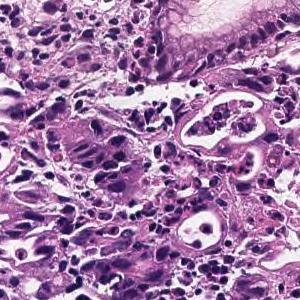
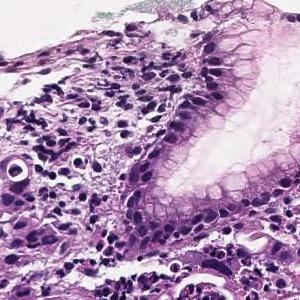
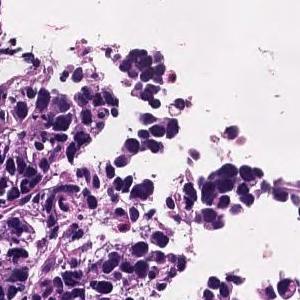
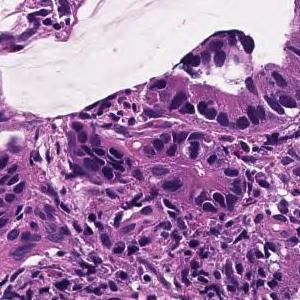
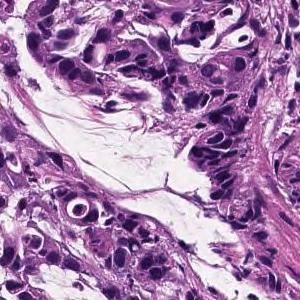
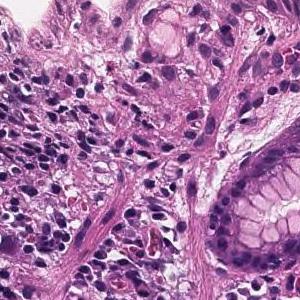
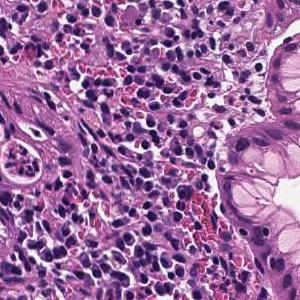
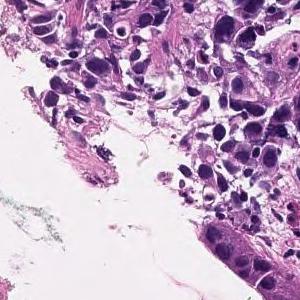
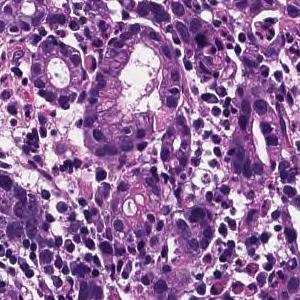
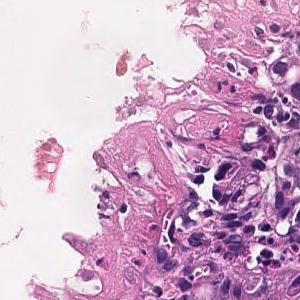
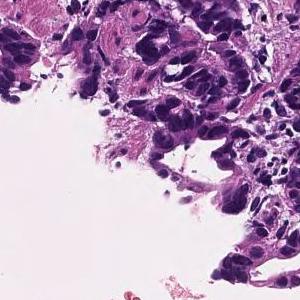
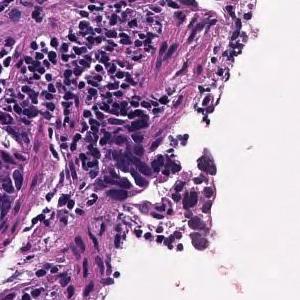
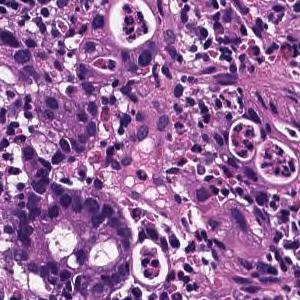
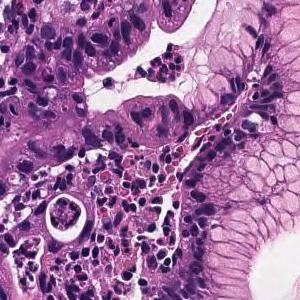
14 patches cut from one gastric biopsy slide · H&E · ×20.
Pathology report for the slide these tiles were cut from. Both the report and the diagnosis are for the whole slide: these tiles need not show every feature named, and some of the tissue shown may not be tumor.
In the superficial epithelium, tumor tissue that invades by forming medium-sized to small, irregular ducts is observed. moderately differentiated tubular adenocarcinoma.
